7 patches cut from one gastric biopsy slide, 20× magnification, H&E stain.
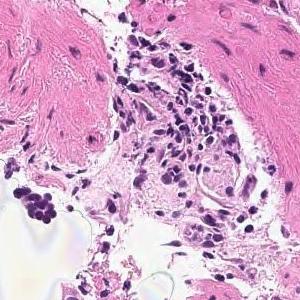
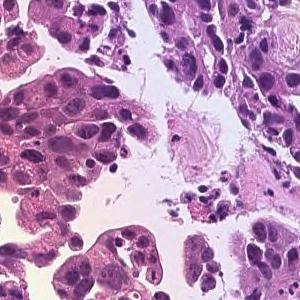
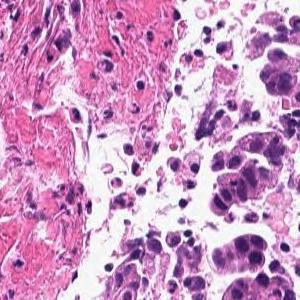
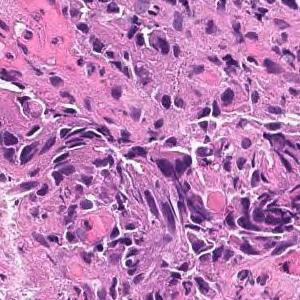
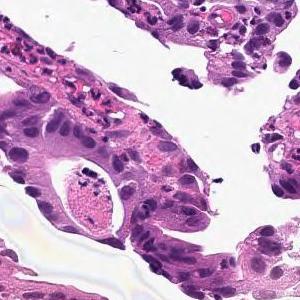
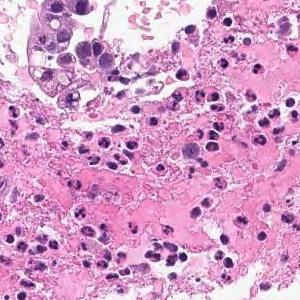
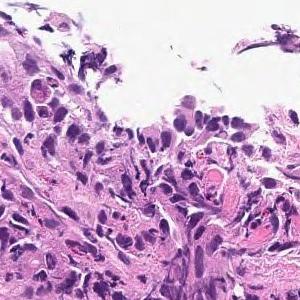
The pathologist's report on the biopsy slide these tiles were taken from. The findings and the diagnosis refer to the entire slide; these tiles show only part of it, possibly with non-tumor tissue, and may not show every feature named.
On the superficial epithelium, tumor tissue consisting of large irregular glandular ducts partially fused and infiltrated is observed. Well to moderately differentiated tubular adenocarcinoma (well differentiated tubular adenocarcinoma, moderately differentiated tubular adenocarcinoma)
Subtype: Well to moderately differentiated tubular adenocarcinoma.
